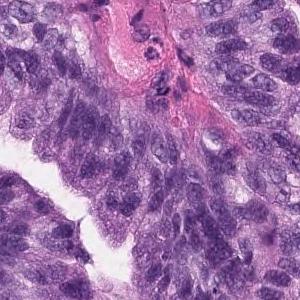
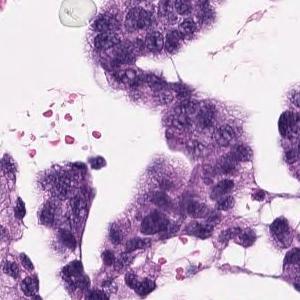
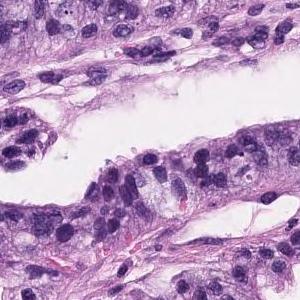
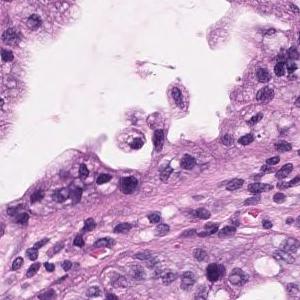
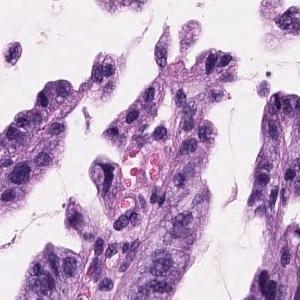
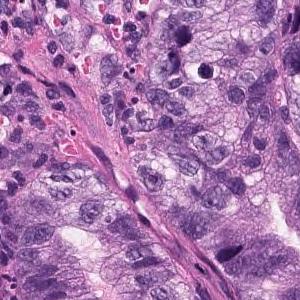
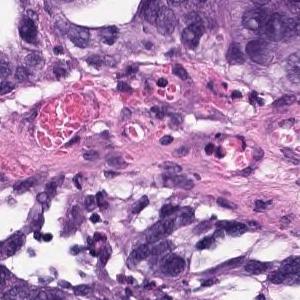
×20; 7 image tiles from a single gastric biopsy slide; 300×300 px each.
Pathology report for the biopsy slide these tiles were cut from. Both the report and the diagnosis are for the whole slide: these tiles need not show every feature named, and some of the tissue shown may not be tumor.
Tumor cells are large, highly columnar, large club-shaped nuclei, and are associated with chromatin aggregation. Papillary adenocarcinoma.
